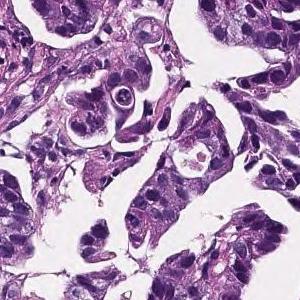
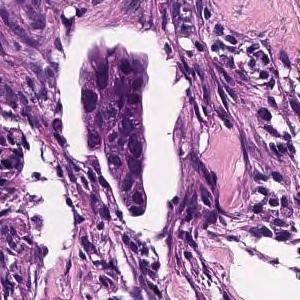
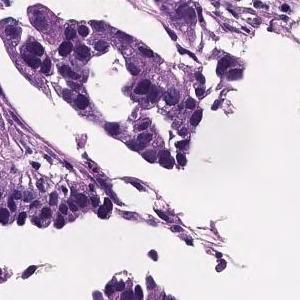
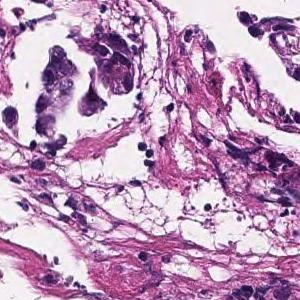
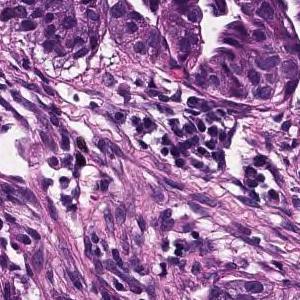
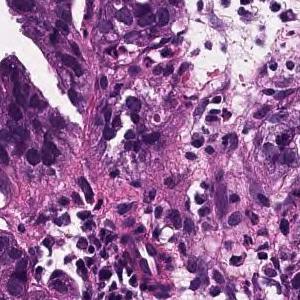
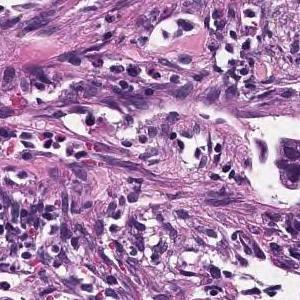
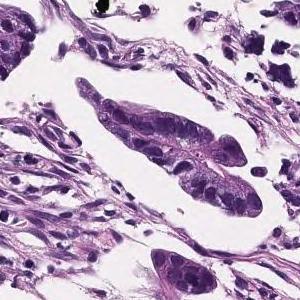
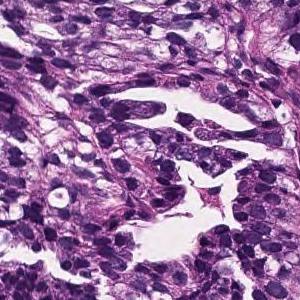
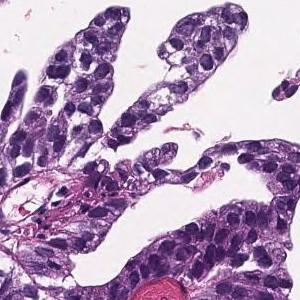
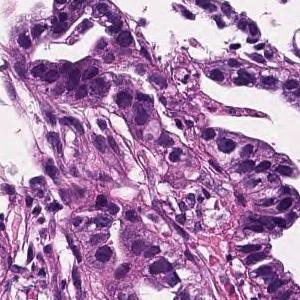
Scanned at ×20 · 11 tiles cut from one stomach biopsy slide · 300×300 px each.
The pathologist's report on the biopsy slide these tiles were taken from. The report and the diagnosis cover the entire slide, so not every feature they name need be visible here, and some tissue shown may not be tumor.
In the lamina propria, tumor tissue that invades by forming medium-sized to small, irregular glandular ducts is observed. moderately differentiated tubular adenocarcinoma
